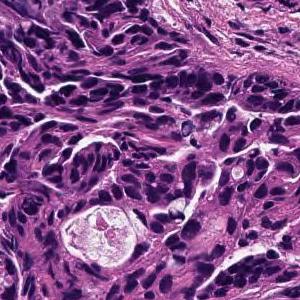
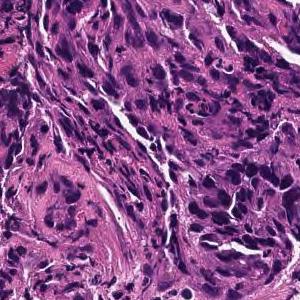
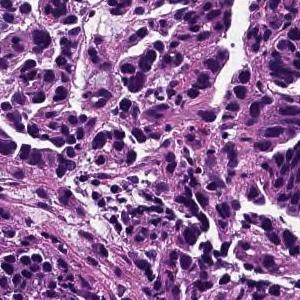
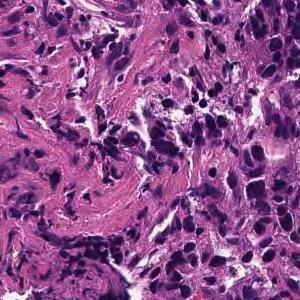
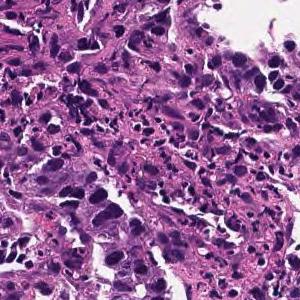
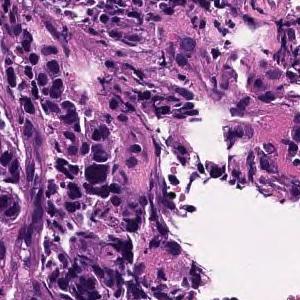
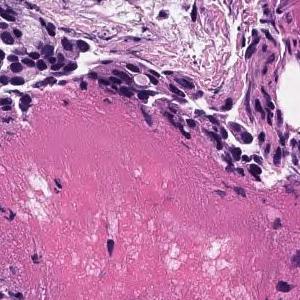
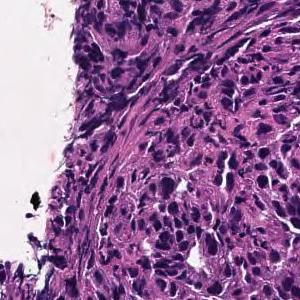
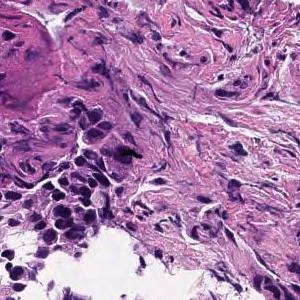
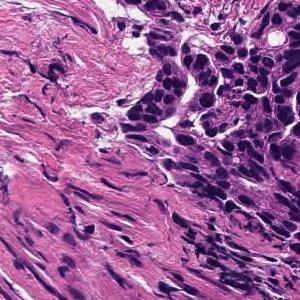
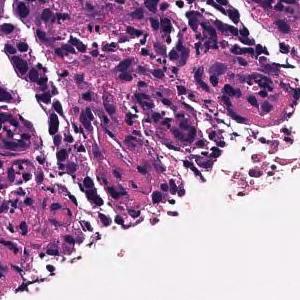
Hematoxylin and eosin stain · 11 tiles from the same stomach biopsy slide · each 300 × 300 pixels.
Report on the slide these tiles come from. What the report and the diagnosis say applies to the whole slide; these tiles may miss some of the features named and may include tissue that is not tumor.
In the superficial epithelium, tumor tissue that invades by forming medium-sized to small, irregular ducts is observed. moderately differentiated tubular adenocarcinoma.
